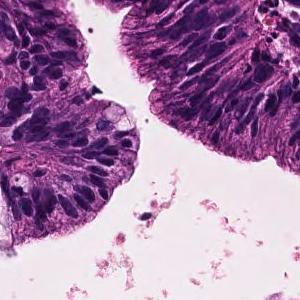
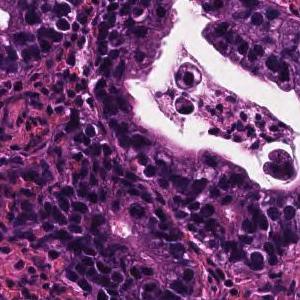
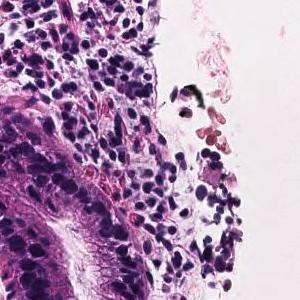
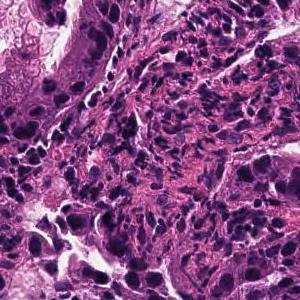
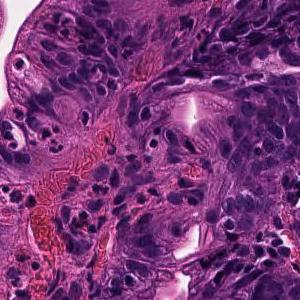
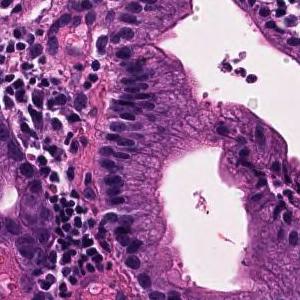
6 image tiles from a single gastric biopsy slide, 300×300 px each, 20× magnification.
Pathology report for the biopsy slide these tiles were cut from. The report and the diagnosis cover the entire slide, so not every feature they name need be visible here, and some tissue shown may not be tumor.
Tumor cells are large, highly columnar, large club-shaped nuclei, and are associated with chromatin aggregation. Papillary adenocarcinoma.
